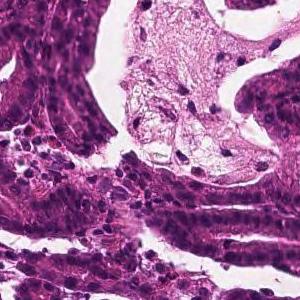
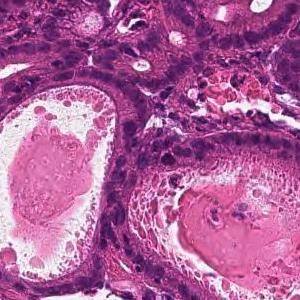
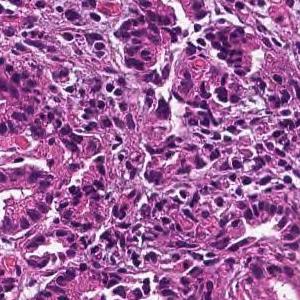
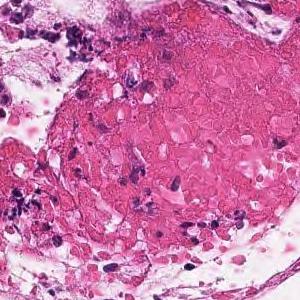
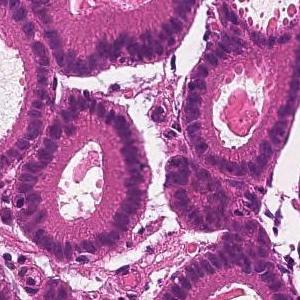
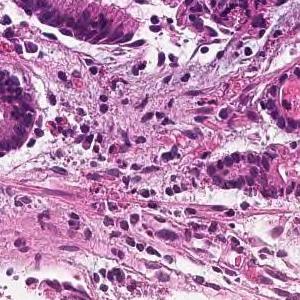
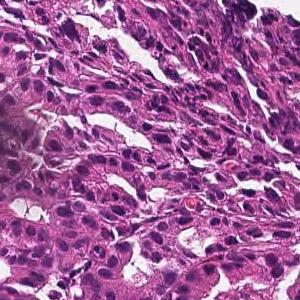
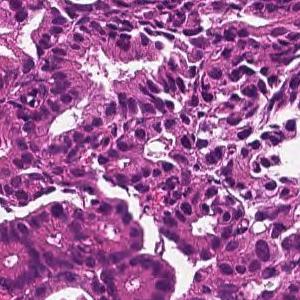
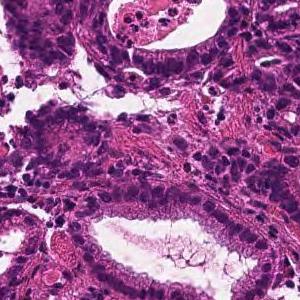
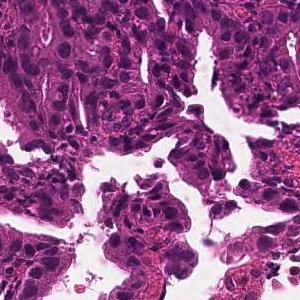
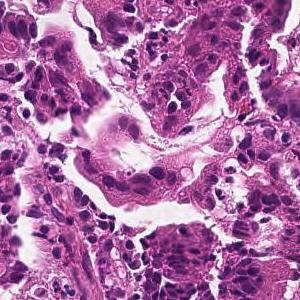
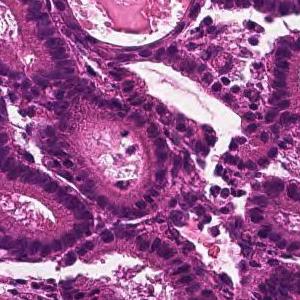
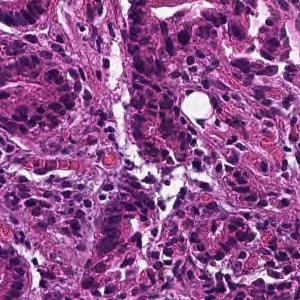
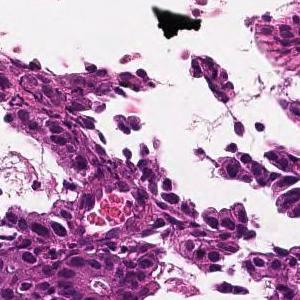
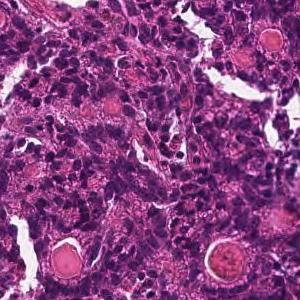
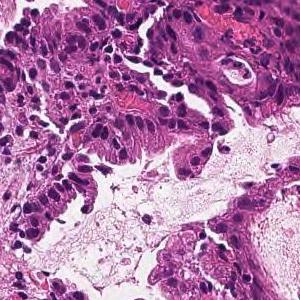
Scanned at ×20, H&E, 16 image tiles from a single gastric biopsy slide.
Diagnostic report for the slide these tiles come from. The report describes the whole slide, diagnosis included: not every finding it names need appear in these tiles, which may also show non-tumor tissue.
From the superficial epithelium to the muscularis mucosae, tumor tissue consisting of medium-sized and irregular glandular ducts infiltrating is observed. Well differentiated tubular adenocarcinoma
